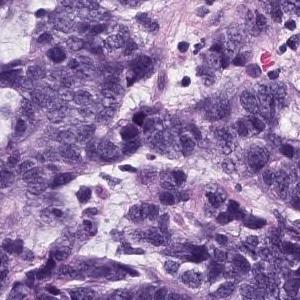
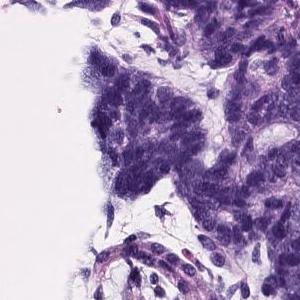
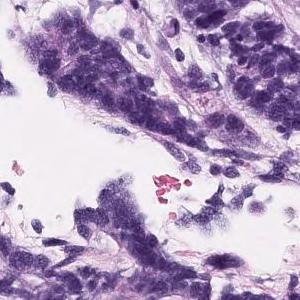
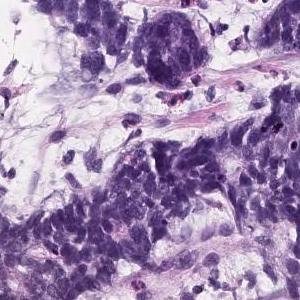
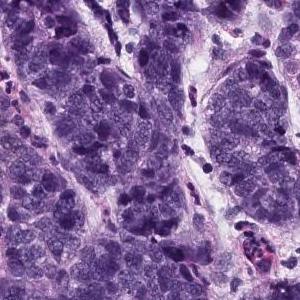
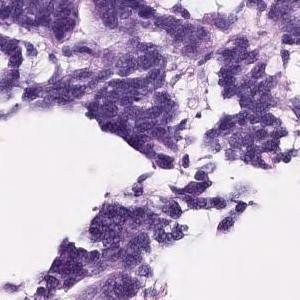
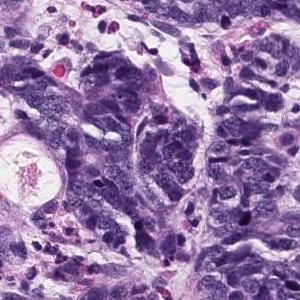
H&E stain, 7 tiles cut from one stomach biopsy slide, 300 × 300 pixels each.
The pathologist's report on the biopsy slide these tiles were taken from. What the report and the diagnosis say applies to the whole slide; these tiles may miss some of the features named and may include tissue that is not tumor.
Group 5, Adenocarcinoma. Moderately to poorly differentiated adenocarcinoma
